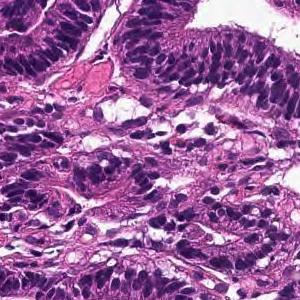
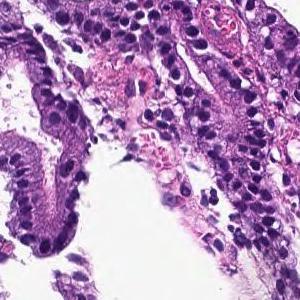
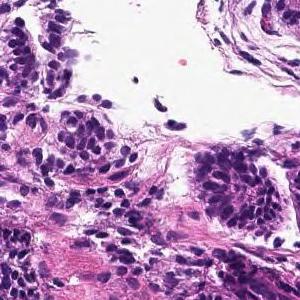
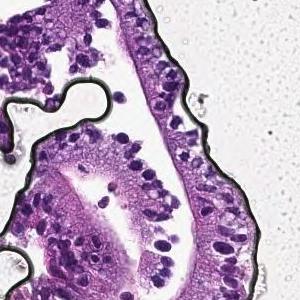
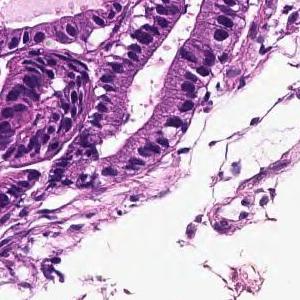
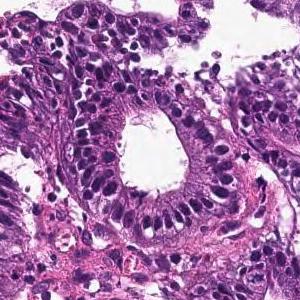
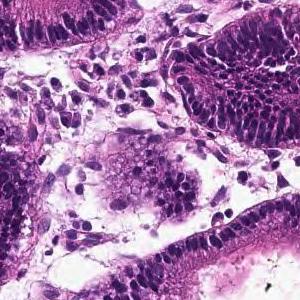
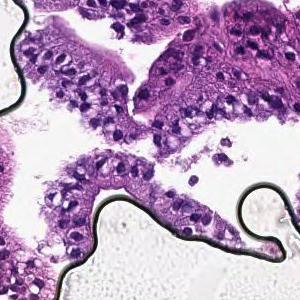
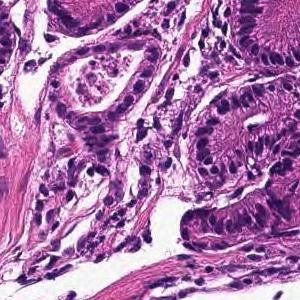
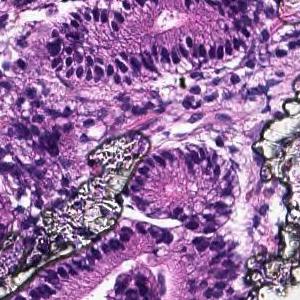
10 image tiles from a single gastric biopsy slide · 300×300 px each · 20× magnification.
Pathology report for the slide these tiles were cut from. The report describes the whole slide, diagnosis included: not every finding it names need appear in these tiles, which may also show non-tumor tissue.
On the superficial epithelium, tumor tissue that infiltrates by forming medium-sized round or small irregular ducts is observed. Papillary adenocarcinoma
